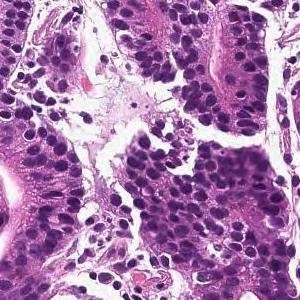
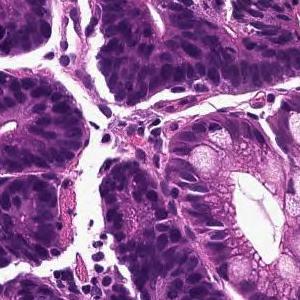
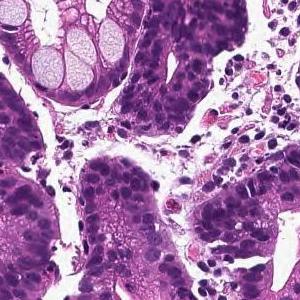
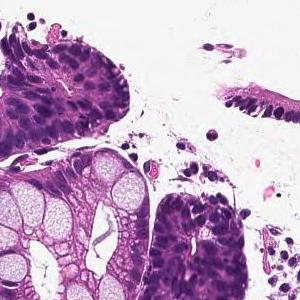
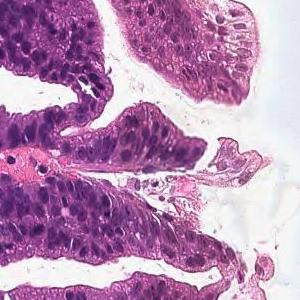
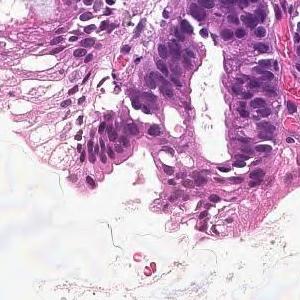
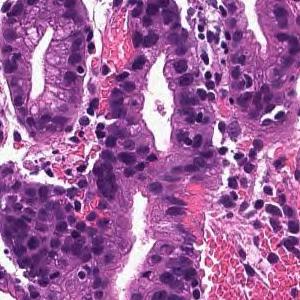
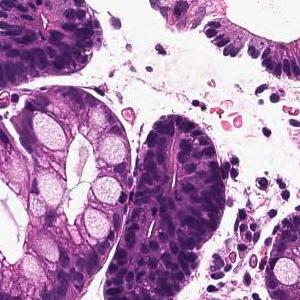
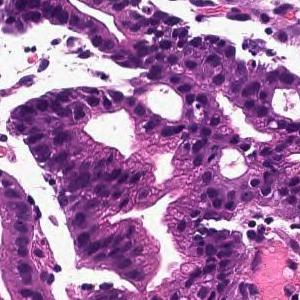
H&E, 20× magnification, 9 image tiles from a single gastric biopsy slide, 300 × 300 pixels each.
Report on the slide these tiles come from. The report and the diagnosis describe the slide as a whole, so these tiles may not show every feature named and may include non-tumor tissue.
From the superficial epithelium to the muscularis mucosae, tumor tissue consisting of medium-sized and irregular glandular ducts infiltrating is observed. Well differentiated tubular adenocarcinoma
